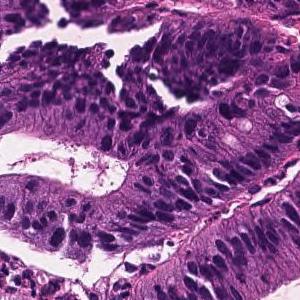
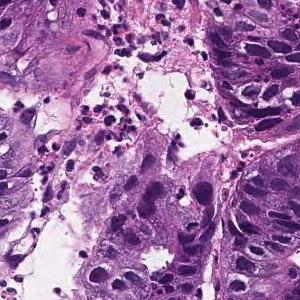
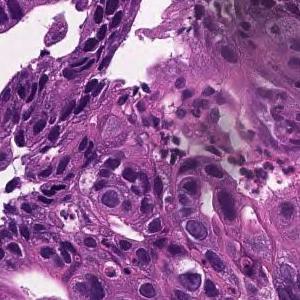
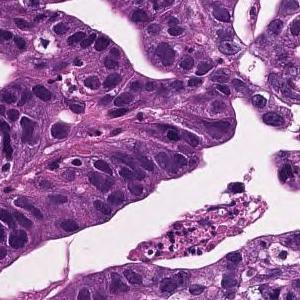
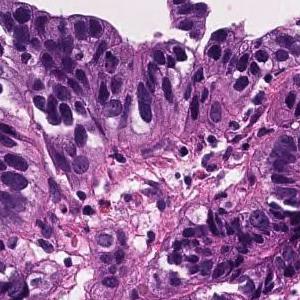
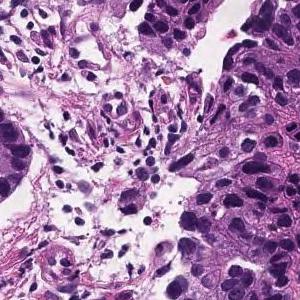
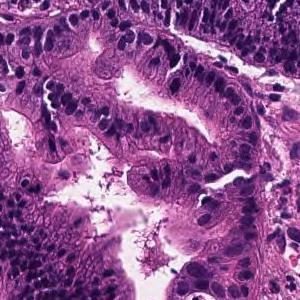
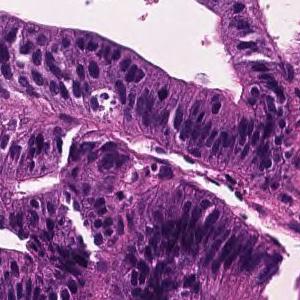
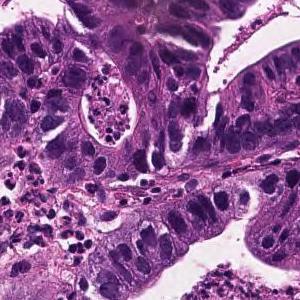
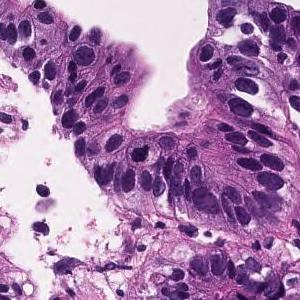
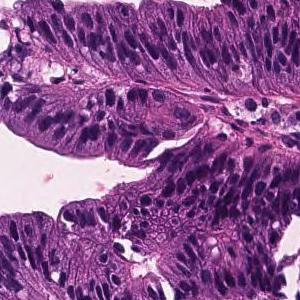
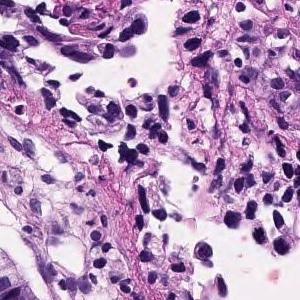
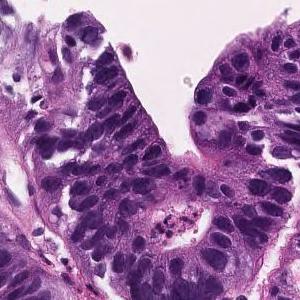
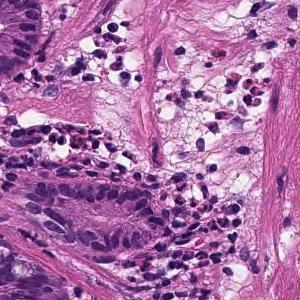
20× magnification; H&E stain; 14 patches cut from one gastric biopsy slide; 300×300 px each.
Pathology report for the slide these tiles were cut from. Both the report and the diagnosis are for the whole slide: these tiles need not show every feature named, and some of the tissue shown may not be tumor.
Tumor cells are large, highly columnar, large club-shaped nuclei, and are associated with chromatin aggregation. Papillary adenocarcinoma.
